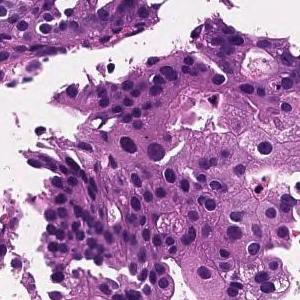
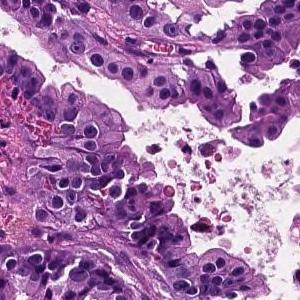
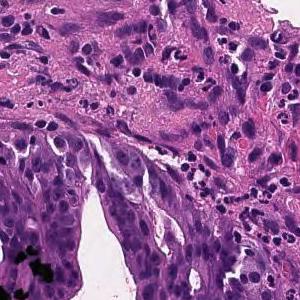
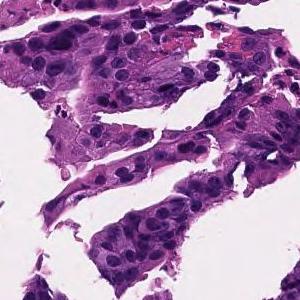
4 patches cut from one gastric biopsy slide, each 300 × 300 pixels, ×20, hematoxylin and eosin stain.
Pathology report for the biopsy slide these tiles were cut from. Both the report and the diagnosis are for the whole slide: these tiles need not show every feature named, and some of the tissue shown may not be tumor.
On the superficial epithelium, tumor tissue consisting of large, irregular glandular ducts partially fused and infiltrated is observed. Well to moderately differentiated tubular adenocarcinoma (well differentiated tubular adenocarcinoma, moderately differentiated tubular adenocarcinoma)
Subtype: Well to moderately differentiated tubular adenocarcinoma.
